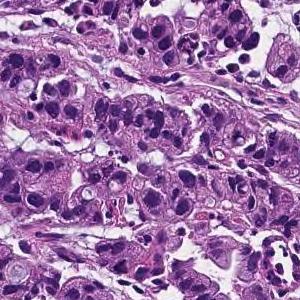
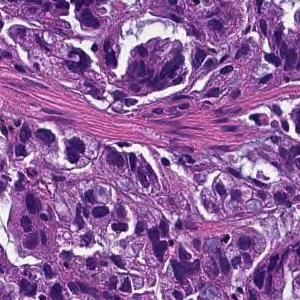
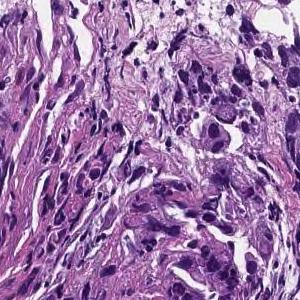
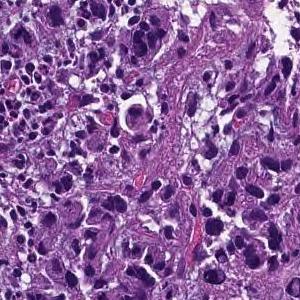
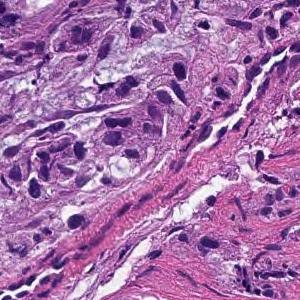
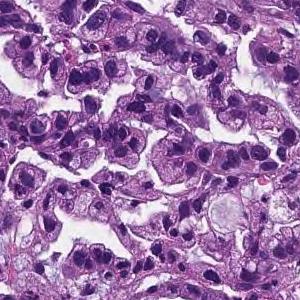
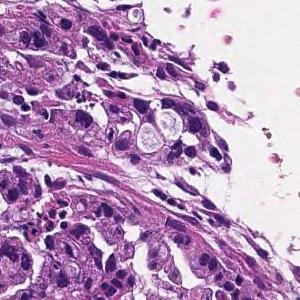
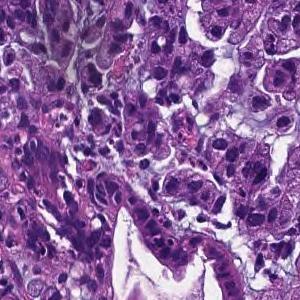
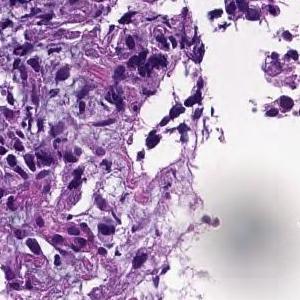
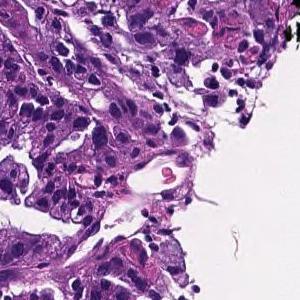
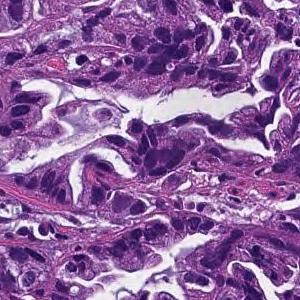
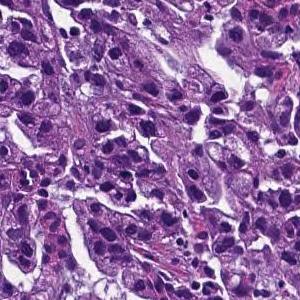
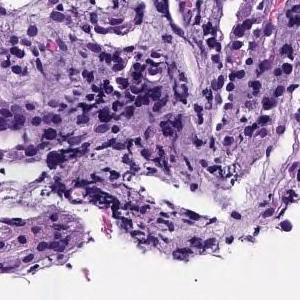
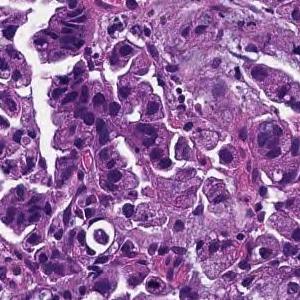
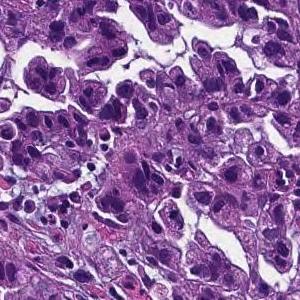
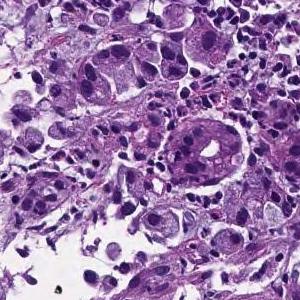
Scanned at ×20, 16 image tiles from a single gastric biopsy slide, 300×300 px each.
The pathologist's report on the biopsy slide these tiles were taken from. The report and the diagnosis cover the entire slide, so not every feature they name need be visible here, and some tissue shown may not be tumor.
Tumor tissue consisting of medium-sized, cord-like or irregular glandular infiltration is observed in the superficial epithelium. Poorly differentiated adenocarcinoma, non-solid type or moderately differentiated tubular adenocarcinoma
Subtype: Moderately to poorly differentiated adenocarcinoma.
The non-solid type named here is a Japanese Classification of Gastric Carcinoma category.
